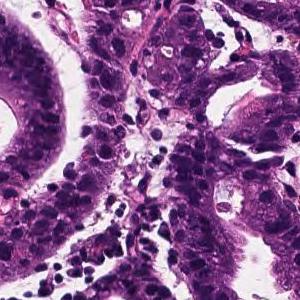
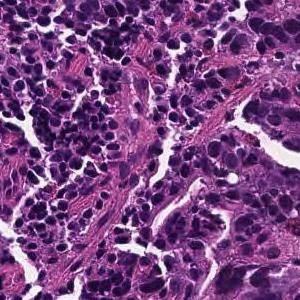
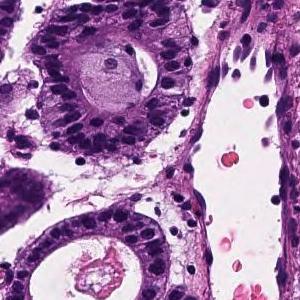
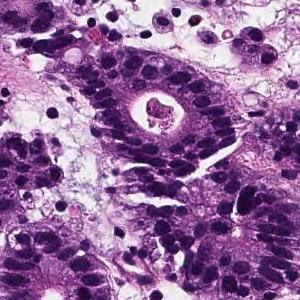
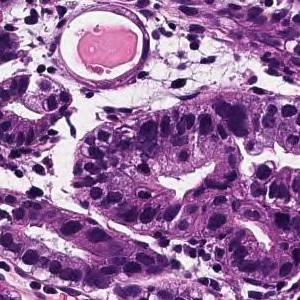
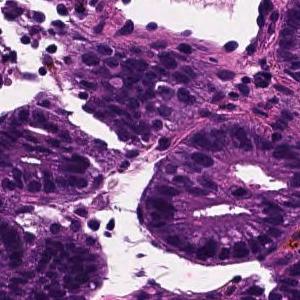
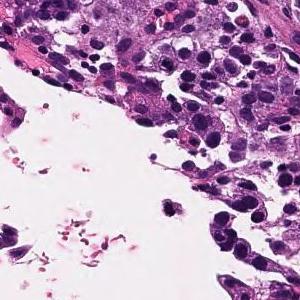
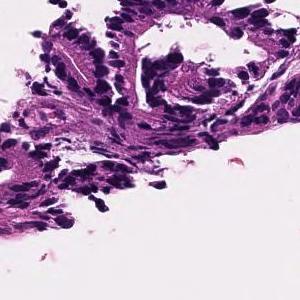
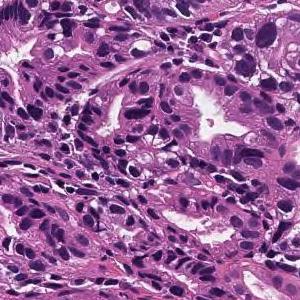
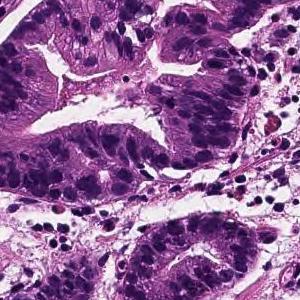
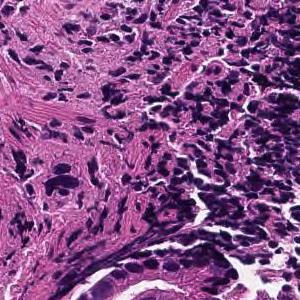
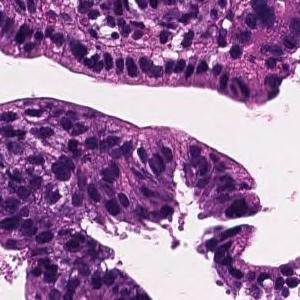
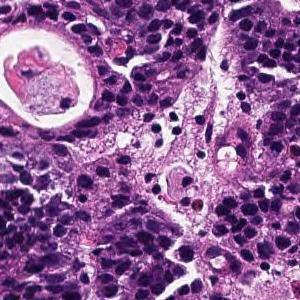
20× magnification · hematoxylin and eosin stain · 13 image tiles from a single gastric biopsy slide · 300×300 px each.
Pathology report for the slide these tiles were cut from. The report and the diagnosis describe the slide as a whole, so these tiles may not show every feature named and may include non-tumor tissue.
From the superficial epithelium to the muscularis mucosae, tumor tissue consisting of medium-sized and irregular glandular ducts infiltrating is observed. Well differentiated tubular adenocarcinoma
